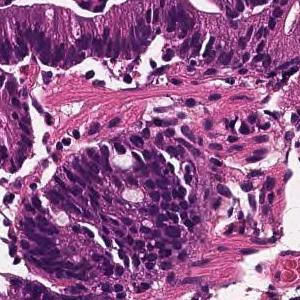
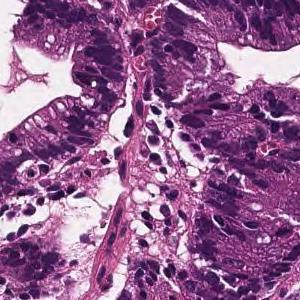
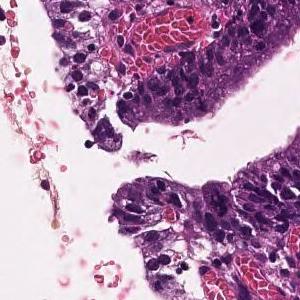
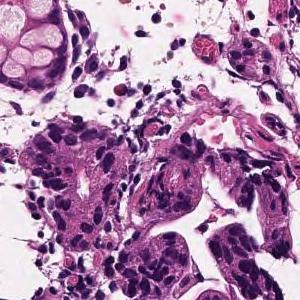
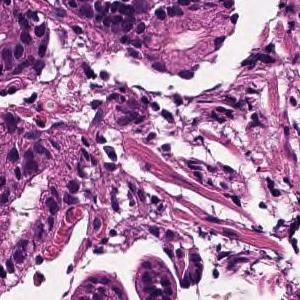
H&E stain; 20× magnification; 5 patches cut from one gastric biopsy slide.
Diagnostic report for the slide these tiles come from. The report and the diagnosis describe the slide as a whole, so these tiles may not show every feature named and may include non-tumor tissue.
From the superficial epithelium to the muscularis mucosae, tumor tissue consisting of medium-sized and irregular glandular ducts infiltrating is observed. Well differentiated tubular adenocarcinoma
